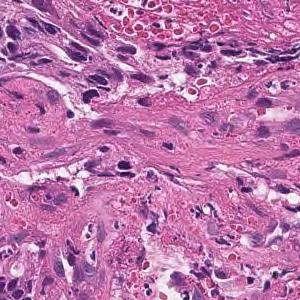
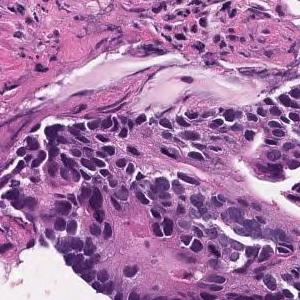
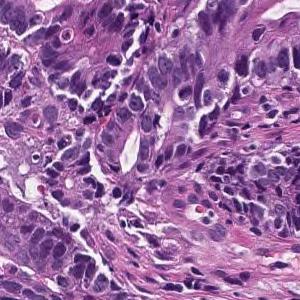
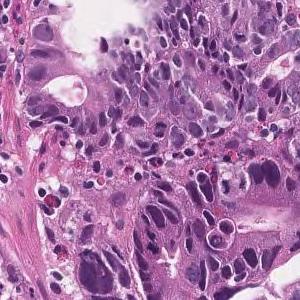
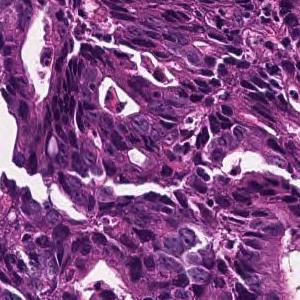
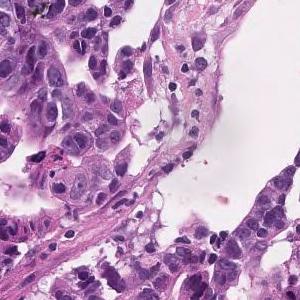
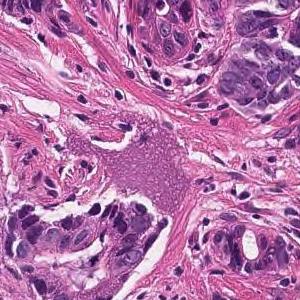
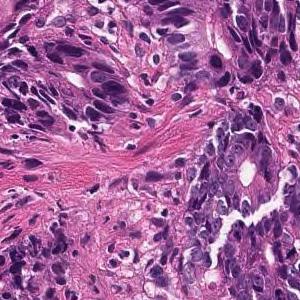
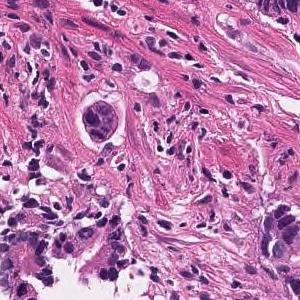
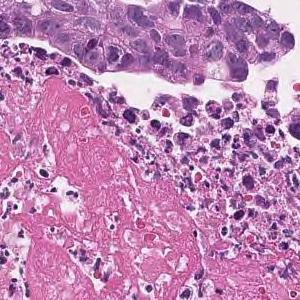
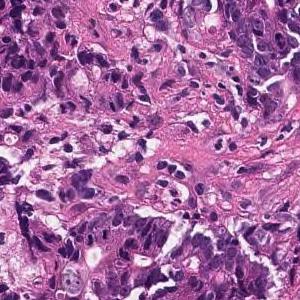
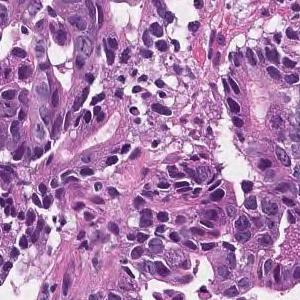
12 tiles from the same stomach biopsy slide · each 300 × 300 pixels · 20× magnification · hematoxylin and eosin stain.
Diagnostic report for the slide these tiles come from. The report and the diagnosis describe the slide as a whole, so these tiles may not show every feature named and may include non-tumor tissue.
In the superficial epithelium, tumor tissue that invades by forming medium-sized to small, irregular ducts is observed. moderately differentiated tubular adenocarcinoma.
